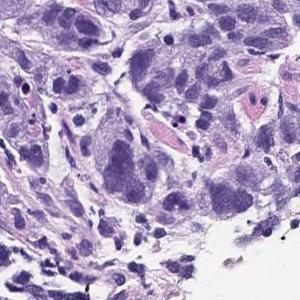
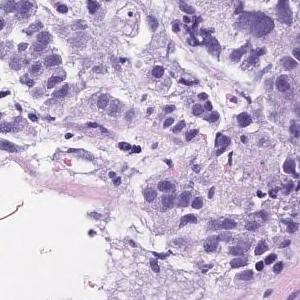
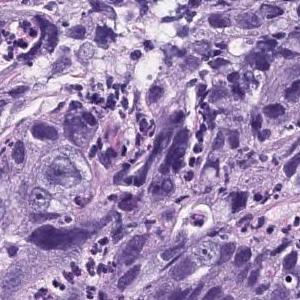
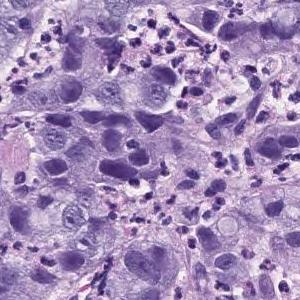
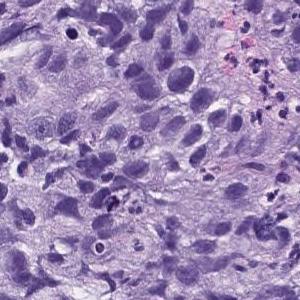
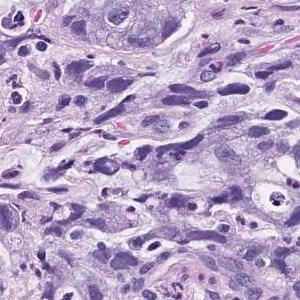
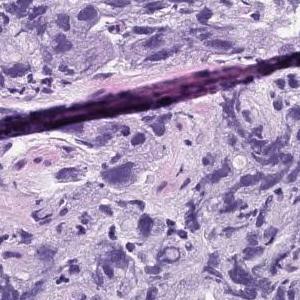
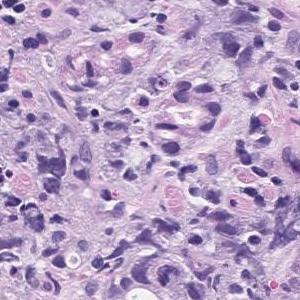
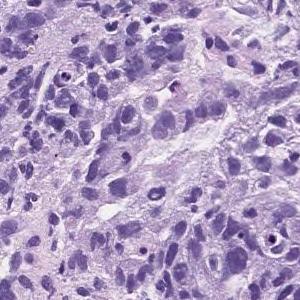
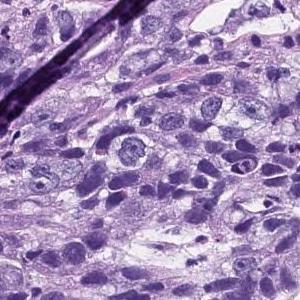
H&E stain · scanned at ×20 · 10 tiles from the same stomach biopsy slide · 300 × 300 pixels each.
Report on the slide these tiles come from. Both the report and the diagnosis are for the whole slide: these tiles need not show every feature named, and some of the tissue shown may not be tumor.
Atypical l cells with atypical nuclei forming solid vesicles or small irregular atypical ducts that proliferate in a complex manner. poorly differentiated adenocarcinoma, solid type, moderately differentiated tubular adenocarcinoma
The term "solid type" comes from the Japanese Classification of Gastric Carcinoma; the WHO 2019 equivalent is tubular adenocarcinoma, poorly differentiated.
